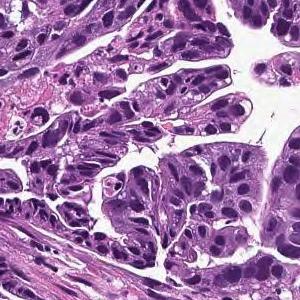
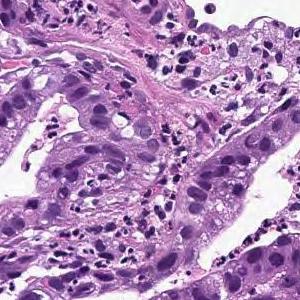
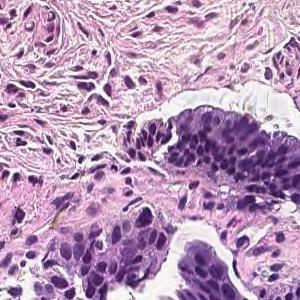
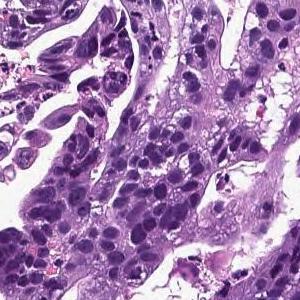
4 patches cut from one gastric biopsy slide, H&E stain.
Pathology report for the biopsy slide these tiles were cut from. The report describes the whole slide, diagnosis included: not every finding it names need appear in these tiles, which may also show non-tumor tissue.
Tumor cells are large, highly columnar, large club-shaped nuclei, and are associated with chromatin aggregation. Papillary adenocarcinoma.
